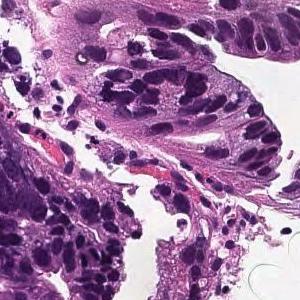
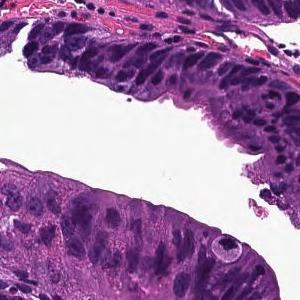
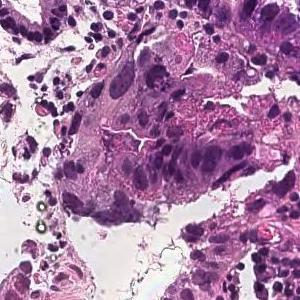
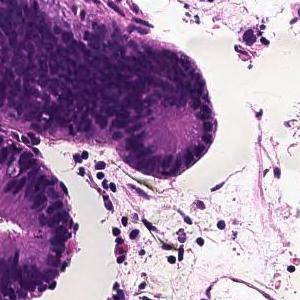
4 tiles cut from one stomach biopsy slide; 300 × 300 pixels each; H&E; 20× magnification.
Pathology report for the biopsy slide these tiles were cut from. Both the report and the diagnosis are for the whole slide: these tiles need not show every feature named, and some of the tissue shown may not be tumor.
In the superficial epithelium, tumor tissue that invades by forming medium-sized to small, irregular ducts is observed. moderately differentiated tubular adenocarcinoma.
